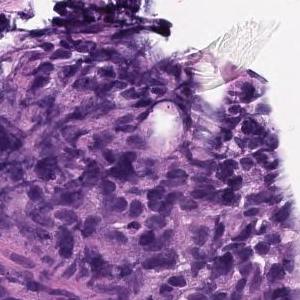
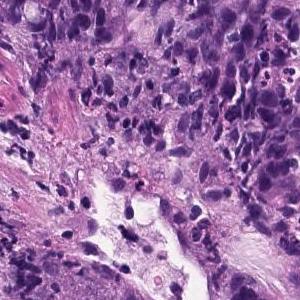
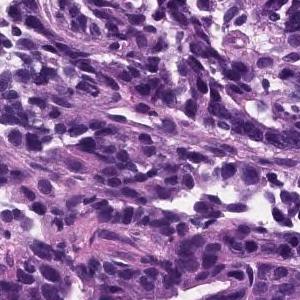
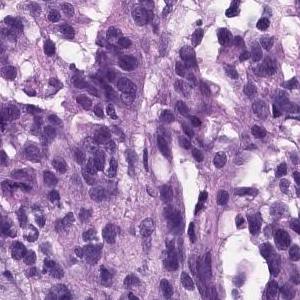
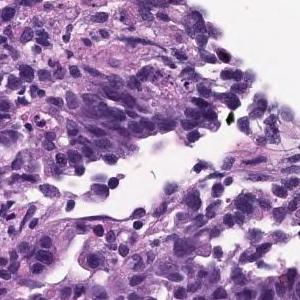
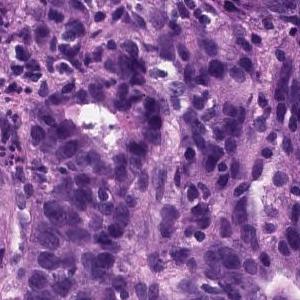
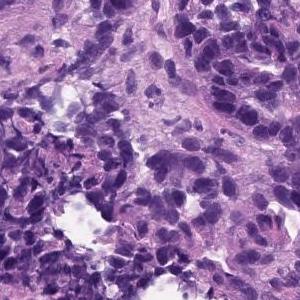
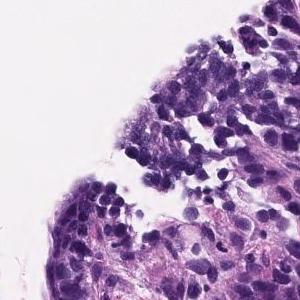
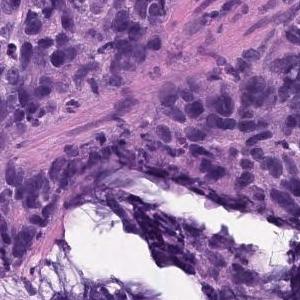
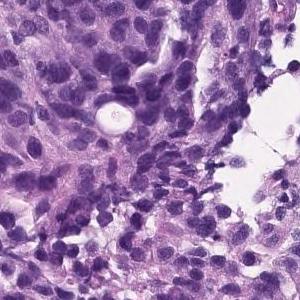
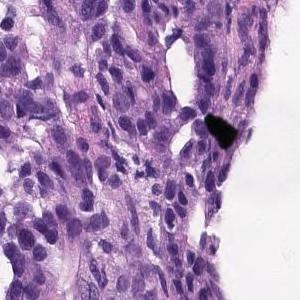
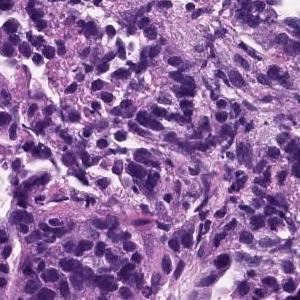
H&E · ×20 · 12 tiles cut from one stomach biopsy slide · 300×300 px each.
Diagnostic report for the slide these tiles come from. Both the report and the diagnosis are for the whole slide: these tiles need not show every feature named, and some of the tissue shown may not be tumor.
Group 5, Adenocarcinoma. Poorly differentiated adenocarcinoma, non-solid type
The non-solid type named here is a Japanese Classification of Gastric Carcinoma category.
